14 tiles from the same stomach biopsy slide.
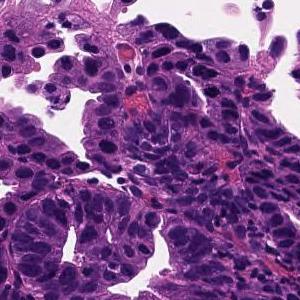
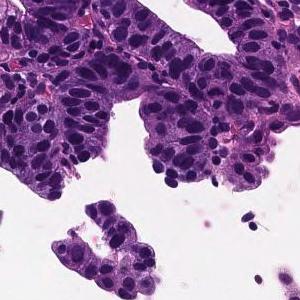
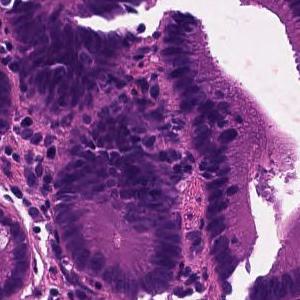
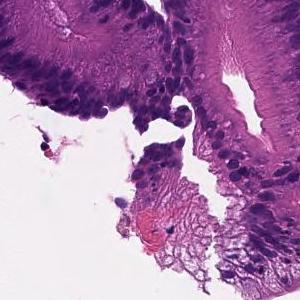
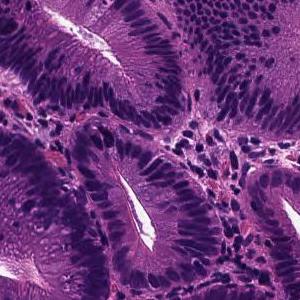
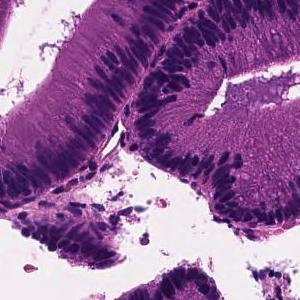
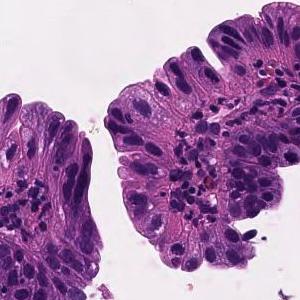
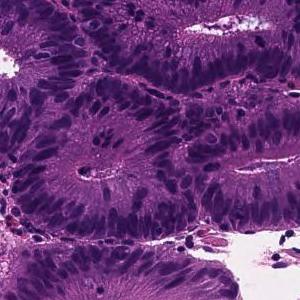
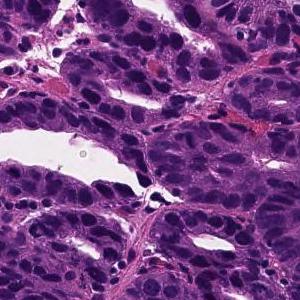
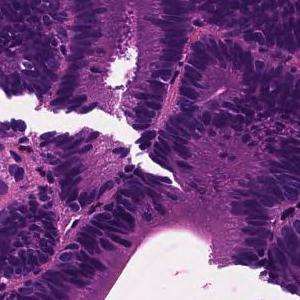
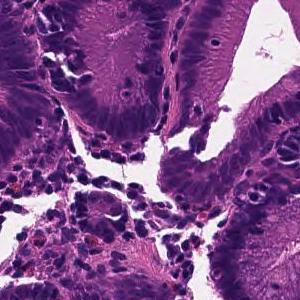
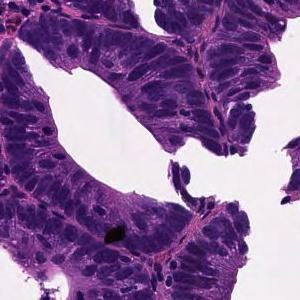
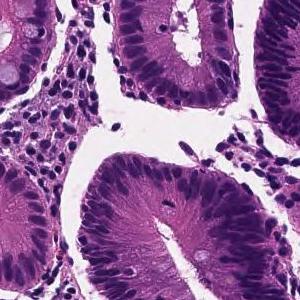
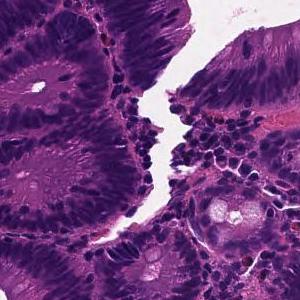
Pathology report for the biopsy slide these tiles were cut from. The report and the diagnosis describe the slide as a whole, so these tiles may not show every feature named and may include non-tumor tissue.
Tumor tissue in which medium to small irregular ducts infiltrate and proliferate in the submucosa can be seen in the epithelium. Well differentiated tubular adenocarcinoma
